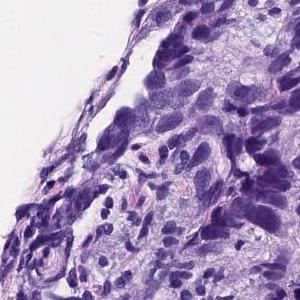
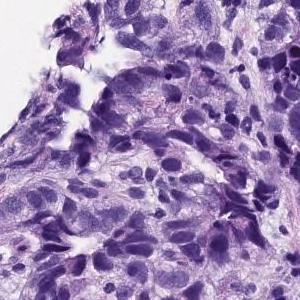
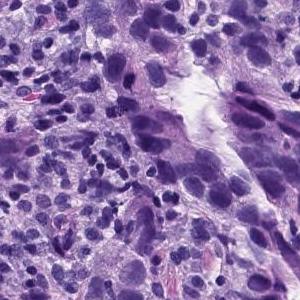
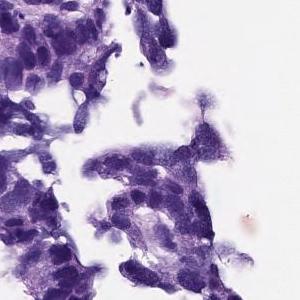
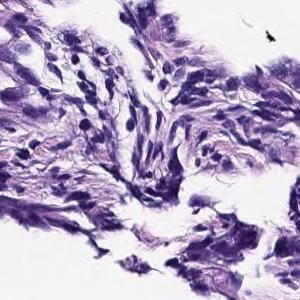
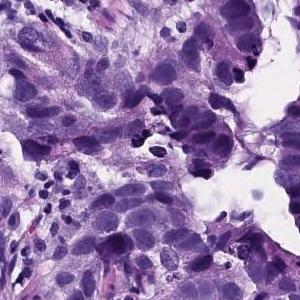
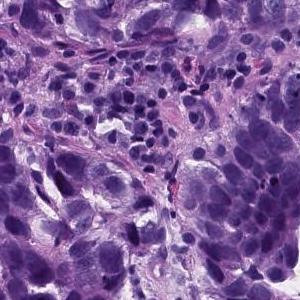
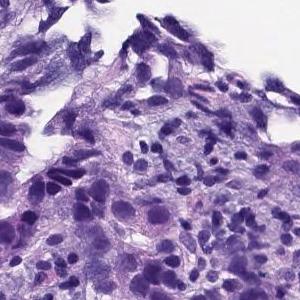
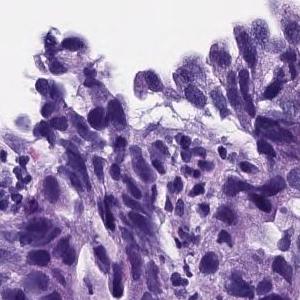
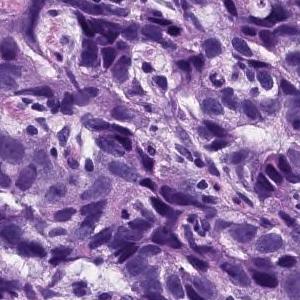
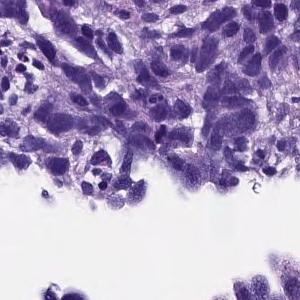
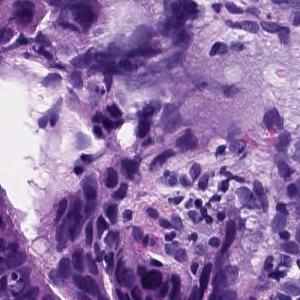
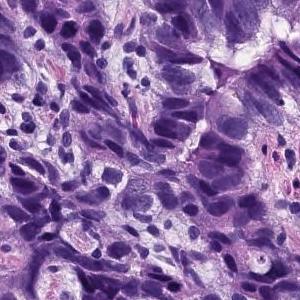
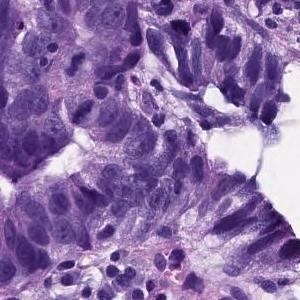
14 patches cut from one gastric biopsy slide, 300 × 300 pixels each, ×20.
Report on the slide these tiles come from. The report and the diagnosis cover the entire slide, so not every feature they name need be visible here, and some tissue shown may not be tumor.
In the superficial epithelium, tumor tissue that invades by forming medium-sized to small, irregular ducts is observed. Moderately differentiated adenocarcinoma.
Histological subtype: Moderately differentiated tubular adenocarcinoma.
